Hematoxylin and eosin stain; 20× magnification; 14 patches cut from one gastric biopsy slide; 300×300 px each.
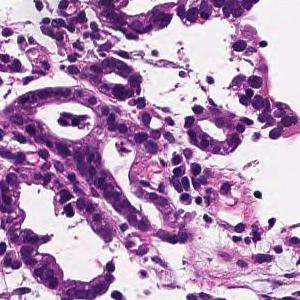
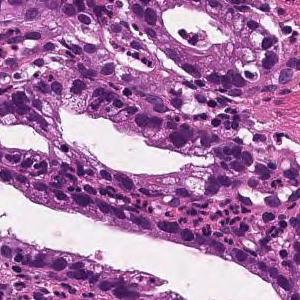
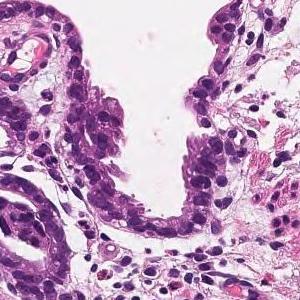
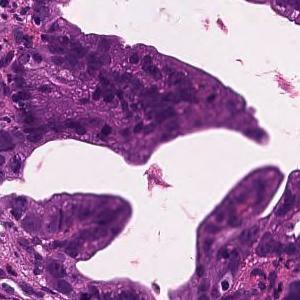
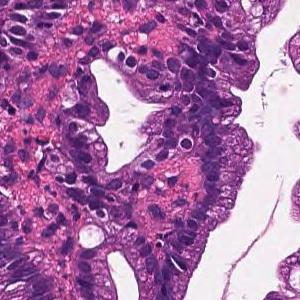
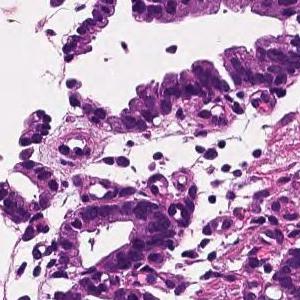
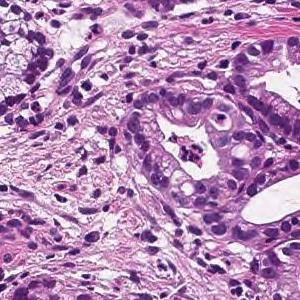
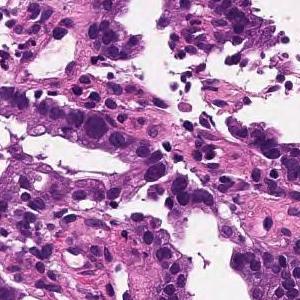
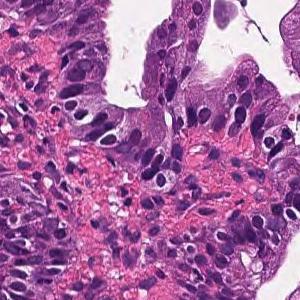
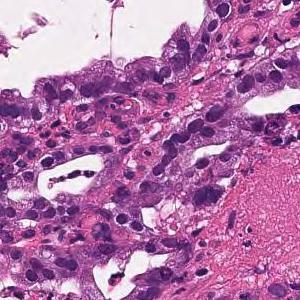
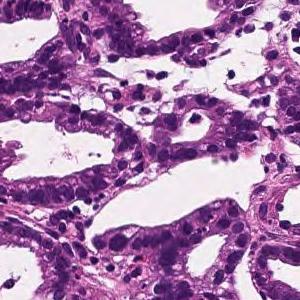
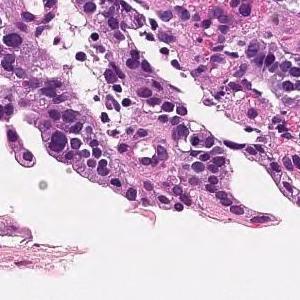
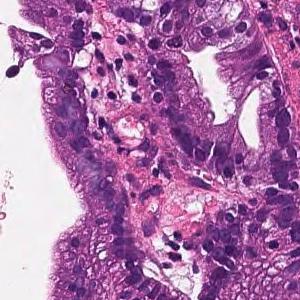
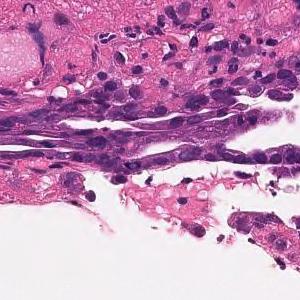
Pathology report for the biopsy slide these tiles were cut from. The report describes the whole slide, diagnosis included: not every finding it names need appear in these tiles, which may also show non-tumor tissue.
On the superficial epithelium, tumor tissue that infiltrates by forming medium-sized papillary or small irregular ducts is observed. Papillary adenocarcinoma
